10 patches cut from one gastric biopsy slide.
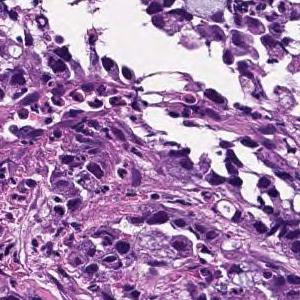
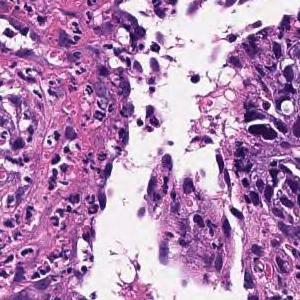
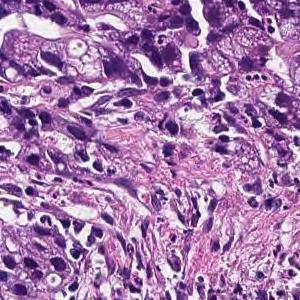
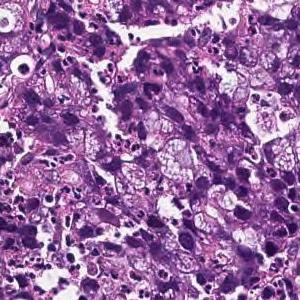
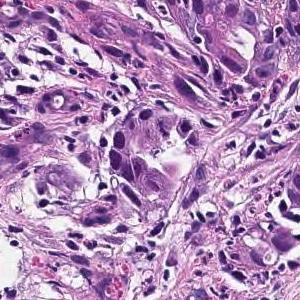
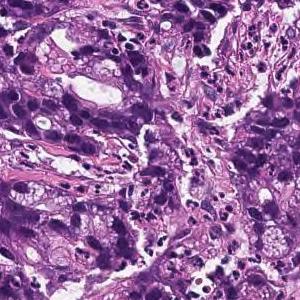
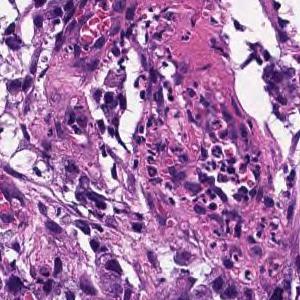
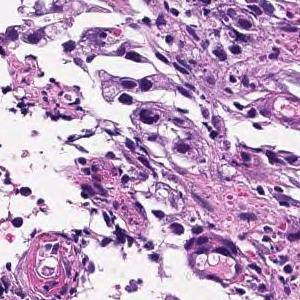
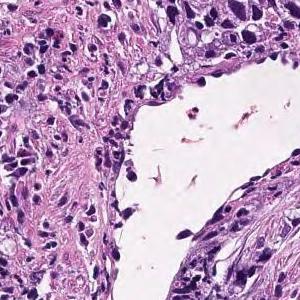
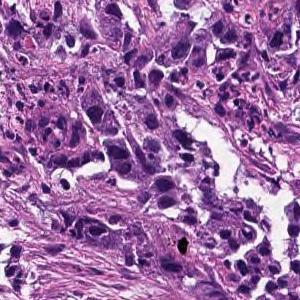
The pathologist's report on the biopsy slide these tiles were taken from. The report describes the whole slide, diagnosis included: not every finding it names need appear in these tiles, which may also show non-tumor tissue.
Medium to small, irregular glandular ducts are formed in the superficial epithelium, and in some cases, the glandular ducts are fused to show solid alveolar lesions and infiltrating tumor tissue is observed. Moderately to poorly differentiated adenocarcinoma.
